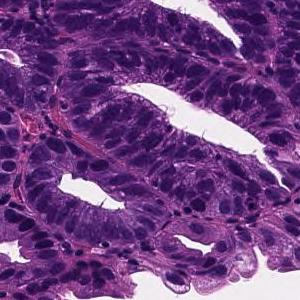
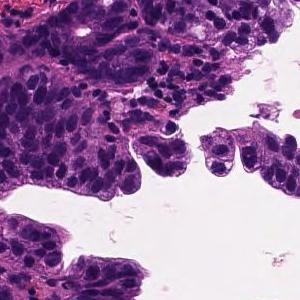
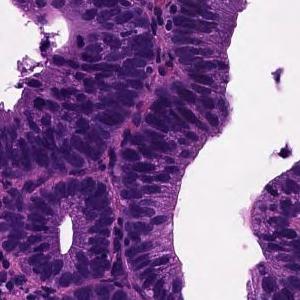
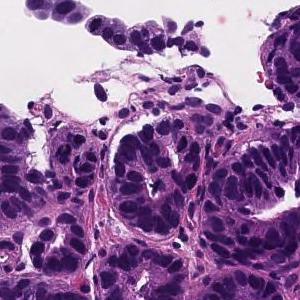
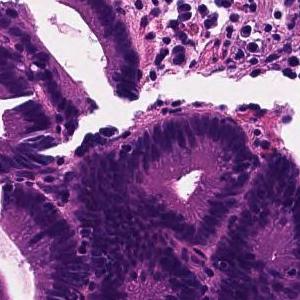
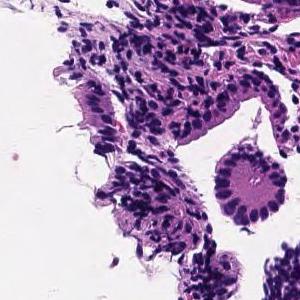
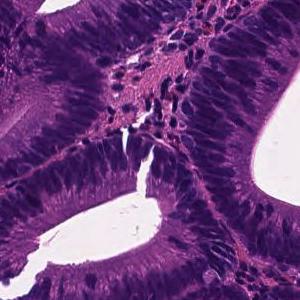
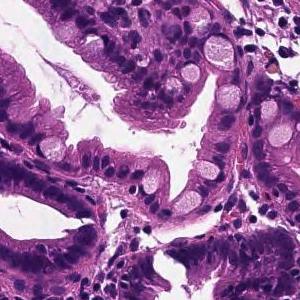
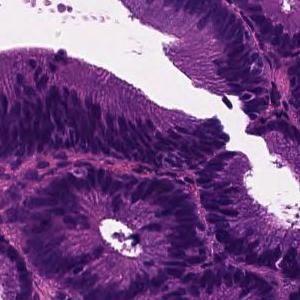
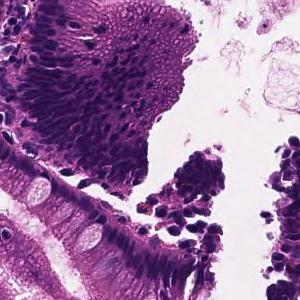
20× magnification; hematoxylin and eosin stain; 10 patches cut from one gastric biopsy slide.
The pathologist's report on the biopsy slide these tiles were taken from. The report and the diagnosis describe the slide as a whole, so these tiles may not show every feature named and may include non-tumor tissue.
Tumor tissue in which medium to small irregular ducts infiltrate and proliferate in the submucosa can be seen in the epithelium. Well differentiated tubular adenocarcinoma
